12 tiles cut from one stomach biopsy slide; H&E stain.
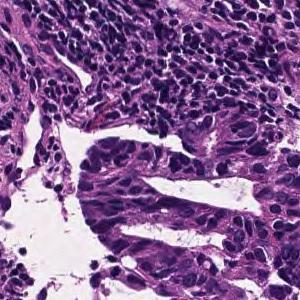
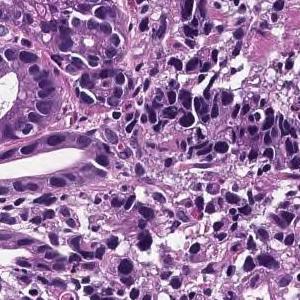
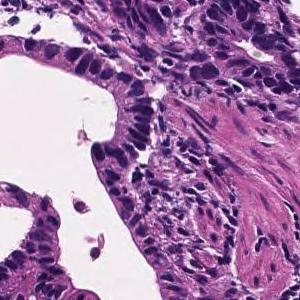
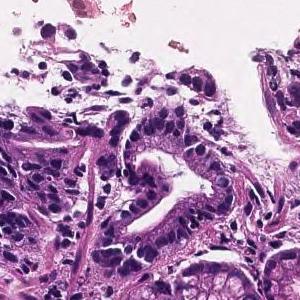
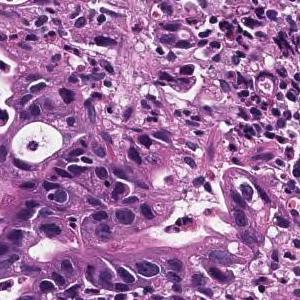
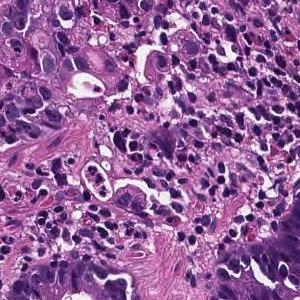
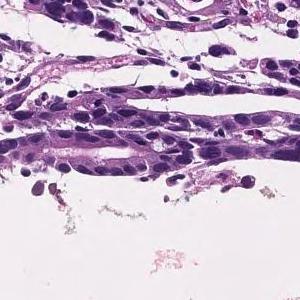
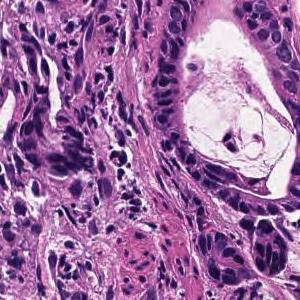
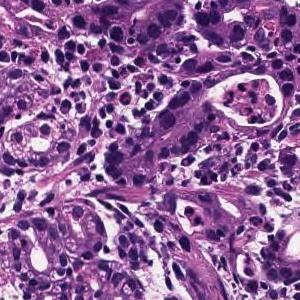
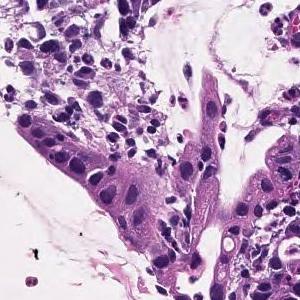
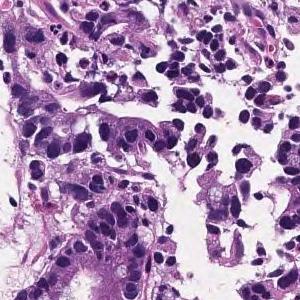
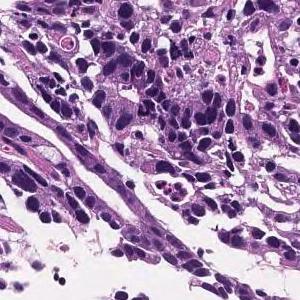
Pathology report for the slide these tiles were cut from. The report describes the whole slide, diagnosis included: not every finding it names need appear in these tiles, which may also show non-tumor tissue.
In the superficial epithelium, tumor tissue that invades by forming medium-sized to small, irregular ducts is observed. moderately differentiated tubular adenocarcinoma.
